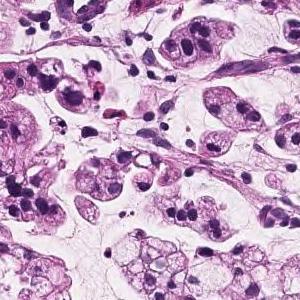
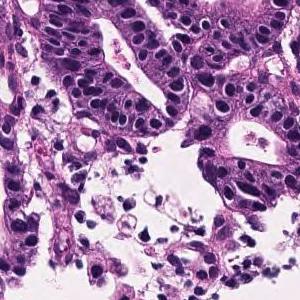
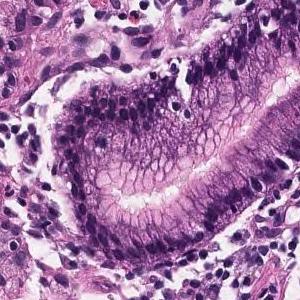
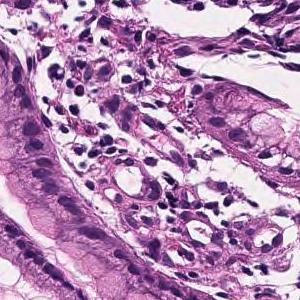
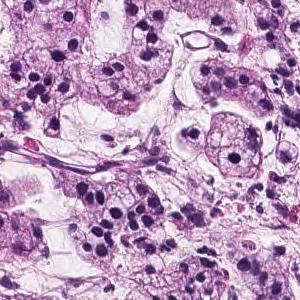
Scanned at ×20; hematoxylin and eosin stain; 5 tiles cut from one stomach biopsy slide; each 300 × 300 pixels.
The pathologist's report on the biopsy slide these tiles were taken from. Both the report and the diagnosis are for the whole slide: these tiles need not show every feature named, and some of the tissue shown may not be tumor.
Tumor tissue consisting of large papillary structures or irregular glandular ducts partially fused and infiltrated is observed in the superficial epithelium. Well to moderately differentiated tubular adenocarcinoma.
Dataset label: moderately differentiated tubular adenocarcinoma.
